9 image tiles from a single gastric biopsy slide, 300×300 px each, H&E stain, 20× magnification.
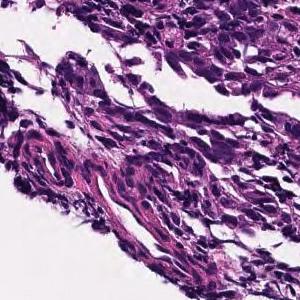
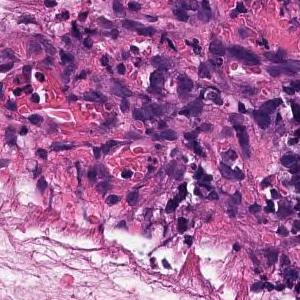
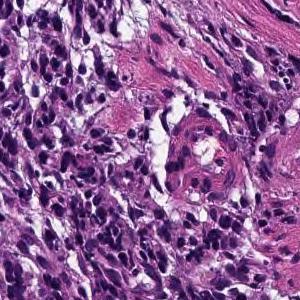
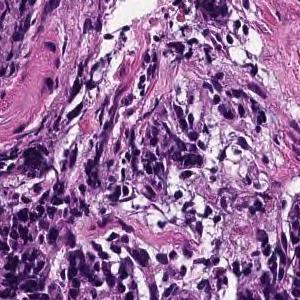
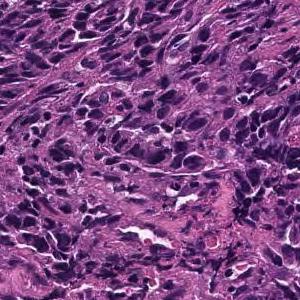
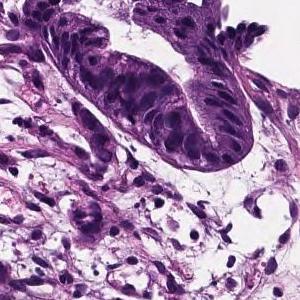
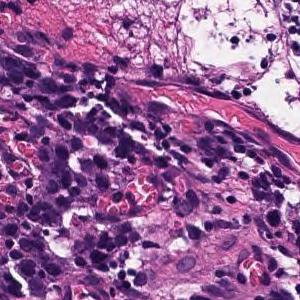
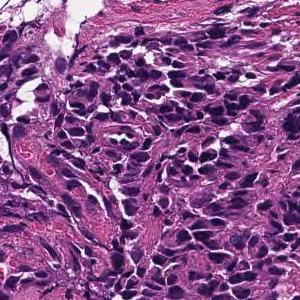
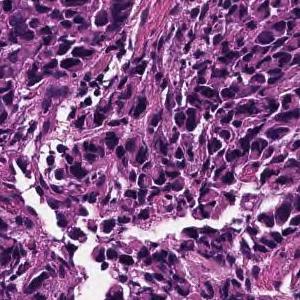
The pathologist's report on the biopsy slide these tiles were taken from. What the report and the diagnosis say applies to the whole slide; these tiles may miss some of the features named and may include tissue that is not tumor.
Poorly differentiated, solid adenocarcinoma (poorly differentiated adenocarcinoma, solid type) with tumor tissue diffusely infiltrated with atypical epithelial cells
Subtype: Poorly differentiated adenocarcinoma, solid type, a category of the Japanese Classification of Gastric Carcinoma; in the WHO 2019 classification it is tubular adenocarcinoma, poorly differentiated.
